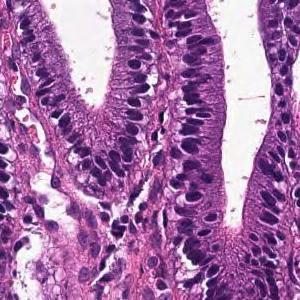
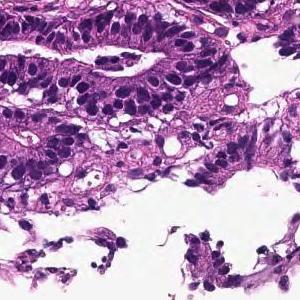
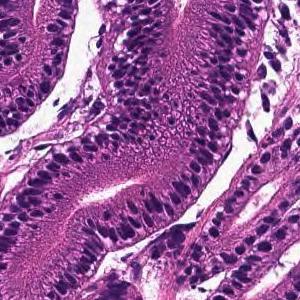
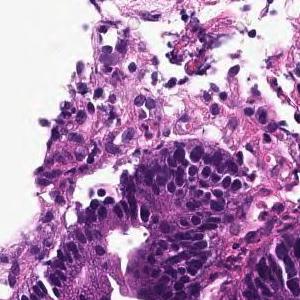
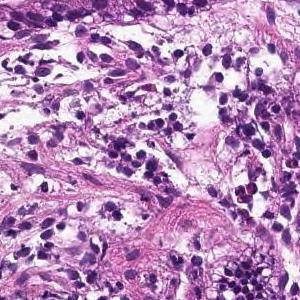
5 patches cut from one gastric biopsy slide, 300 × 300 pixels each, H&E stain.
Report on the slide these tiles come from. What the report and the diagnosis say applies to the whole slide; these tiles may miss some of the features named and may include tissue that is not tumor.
On the superficial epithelium, tumor tissue that infiltrates by forming medium-sized round or small irregular ducts is observed. Papillary adenocarcinoma
